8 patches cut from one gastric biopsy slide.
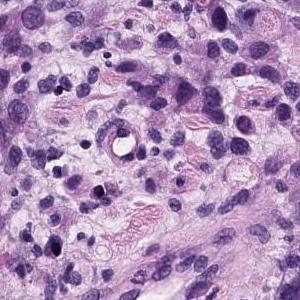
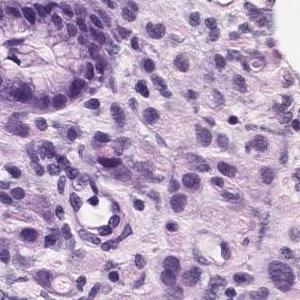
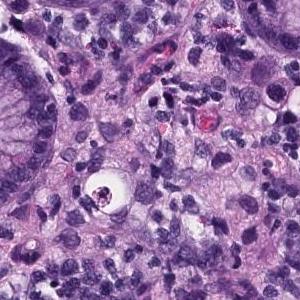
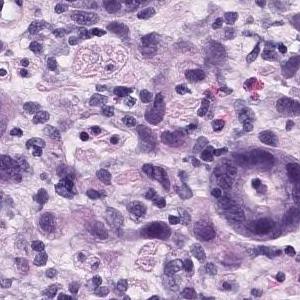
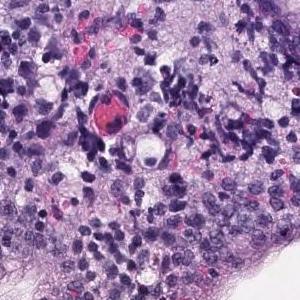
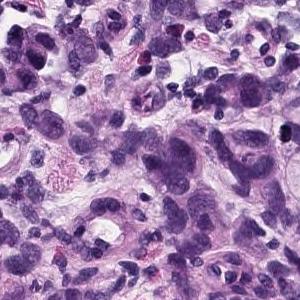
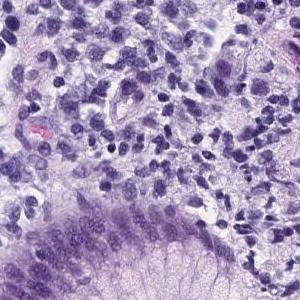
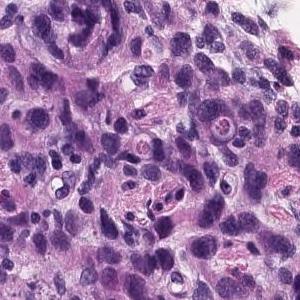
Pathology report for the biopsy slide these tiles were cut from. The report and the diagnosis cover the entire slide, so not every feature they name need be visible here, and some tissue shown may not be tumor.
Group 5, Adenocarcinoma. Poorly differentiated adenocarcinoma, non-solid type
"Non-solid type" is a category of the Japanese Classification of Gastric Carcinoma.
